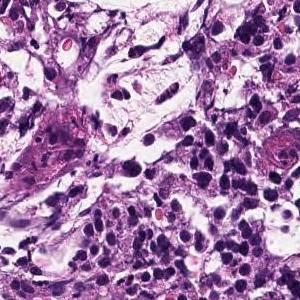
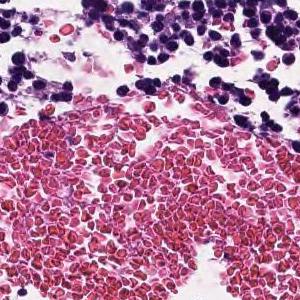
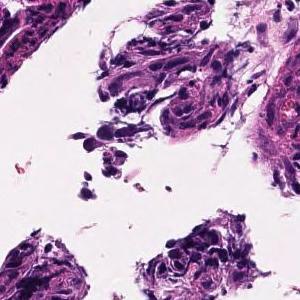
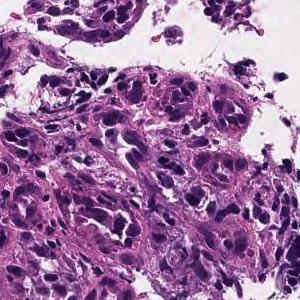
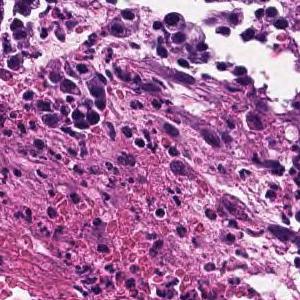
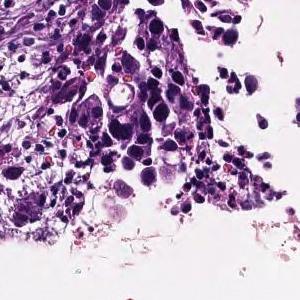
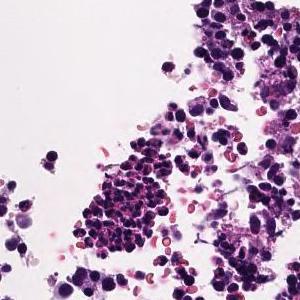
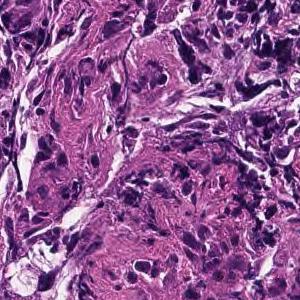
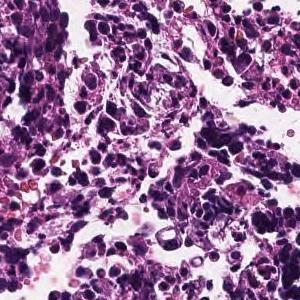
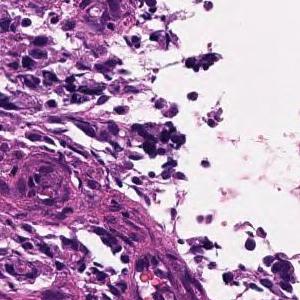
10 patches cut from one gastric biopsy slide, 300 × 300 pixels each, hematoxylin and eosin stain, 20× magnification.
The pathologist's report on the biopsy slide these tiles were taken from. The report describes the whole slide, diagnosis included: not every finding it names need appear in these tiles, which may also show non-tumor tissue.
The superficial epithelium shows a large sheet-like shape, and some tumor tissue infiltrates with small irregular ducts. Poorly differentiated adenocarcinoma, solid-type
Histological subtype: Poorly differentiated adenocarcinoma, solid type (Japanese Classification of Gastric Carcinoma). The WHO 2019 equivalent is tubular adenocarcinoma, poorly differentiated.
